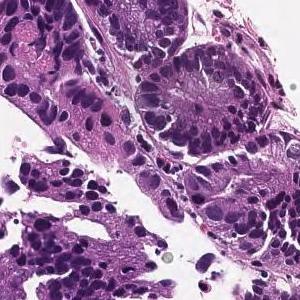
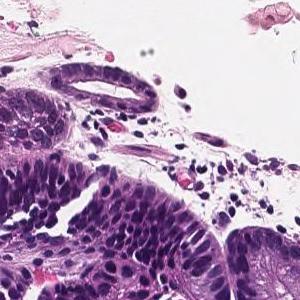
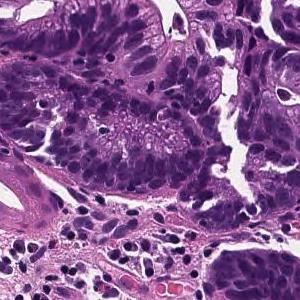
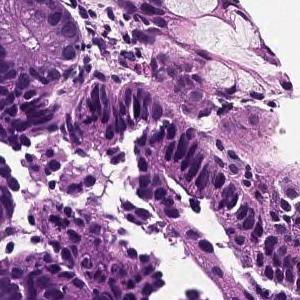
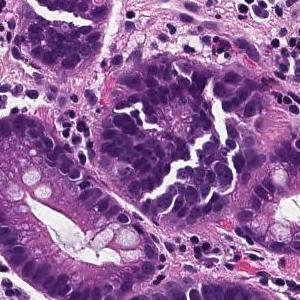
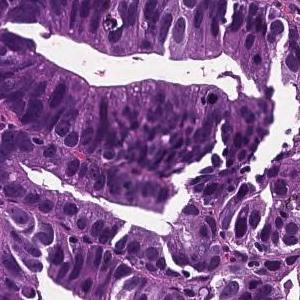
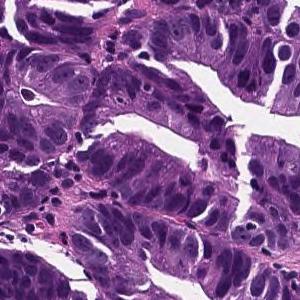
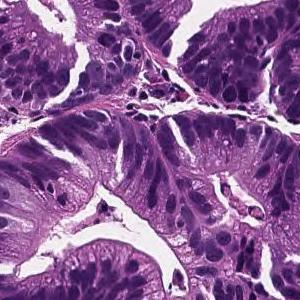
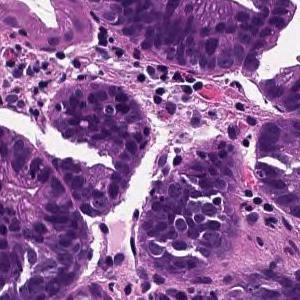
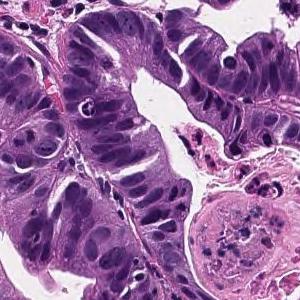
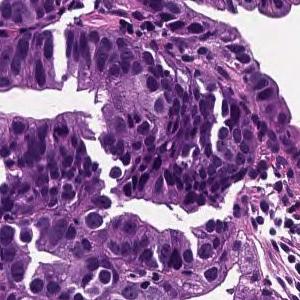
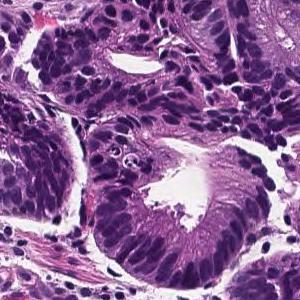
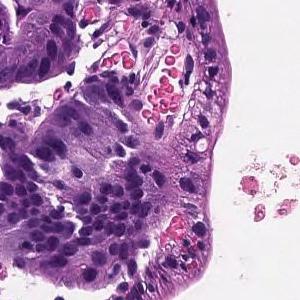
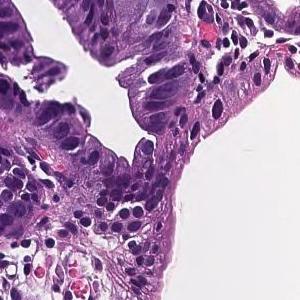
Scanned at ×20 · hematoxylin and eosin stain · 14 patches cut from one gastric biopsy slide · 300×300 px each.
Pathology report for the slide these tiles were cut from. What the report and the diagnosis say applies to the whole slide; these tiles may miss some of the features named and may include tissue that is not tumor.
Tumor cells are large, highly columnar, large club-shaped nuclei, and are associated with chromatin aggregation. Papillary adenocarcinoma.
